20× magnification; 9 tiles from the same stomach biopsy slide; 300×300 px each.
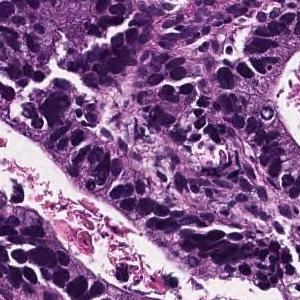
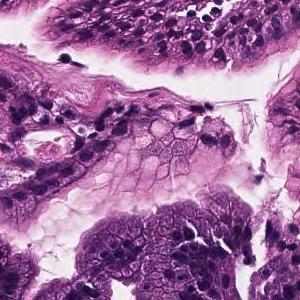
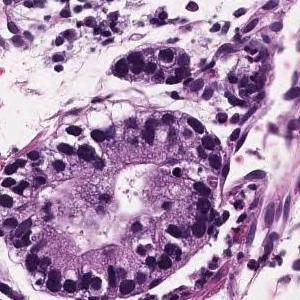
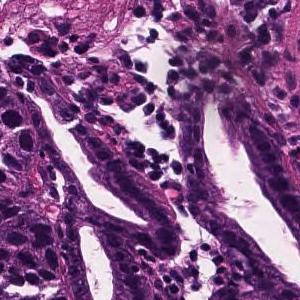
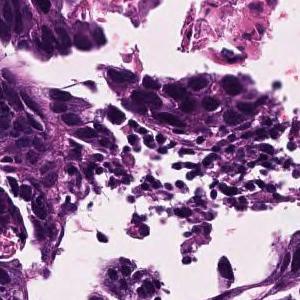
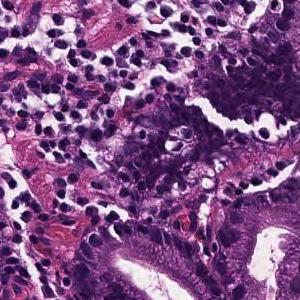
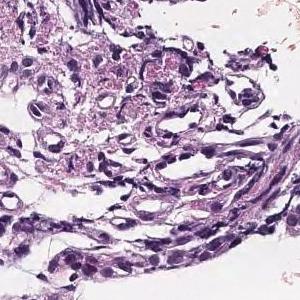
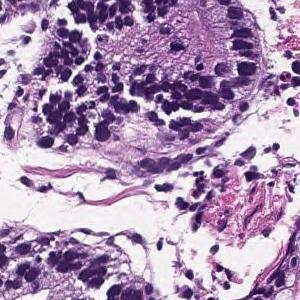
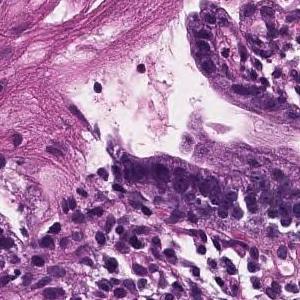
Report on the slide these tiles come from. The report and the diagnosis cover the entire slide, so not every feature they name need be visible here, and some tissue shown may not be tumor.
In the superficial epithelium, tumor tissue that invades by forming medium-sized to small, irregular ducts is observed. Well differentiated tubular adenocarcinoma.
